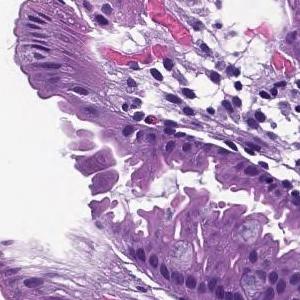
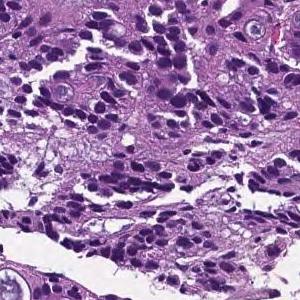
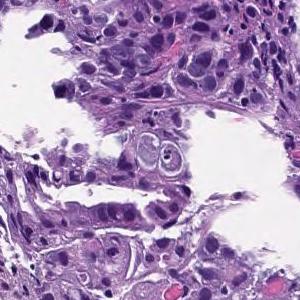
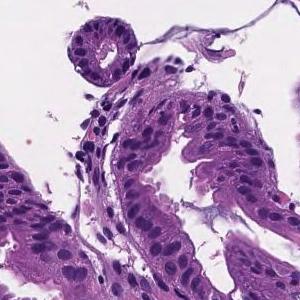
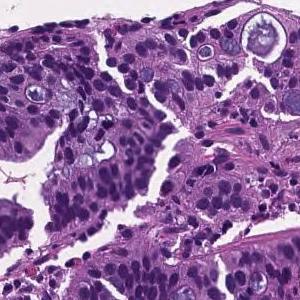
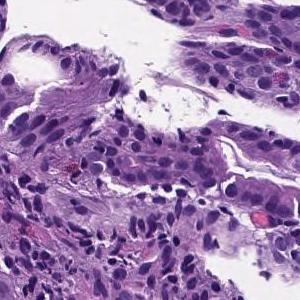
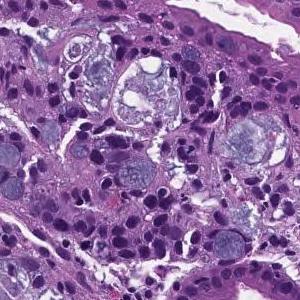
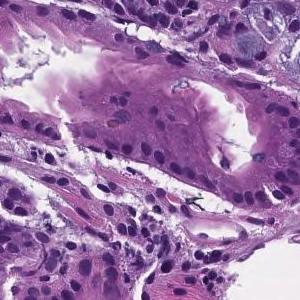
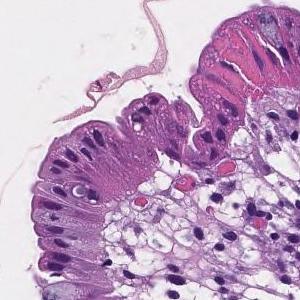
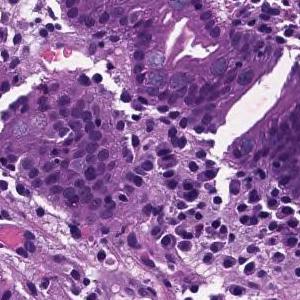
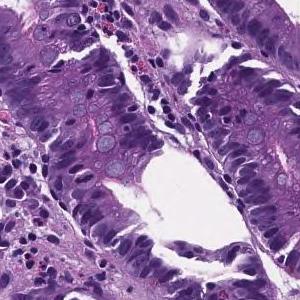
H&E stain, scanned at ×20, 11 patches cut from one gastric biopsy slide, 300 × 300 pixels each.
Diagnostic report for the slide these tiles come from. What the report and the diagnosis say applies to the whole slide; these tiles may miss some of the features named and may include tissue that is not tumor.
In the superficial epithelium, tumor tissue that invades by forming medium-sized to small, irregular ducts is observed. moderately differentiated tubular adenocarcinoma.
